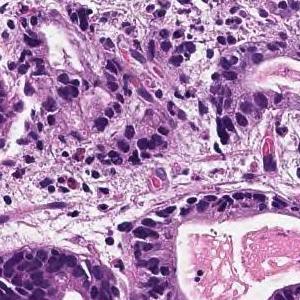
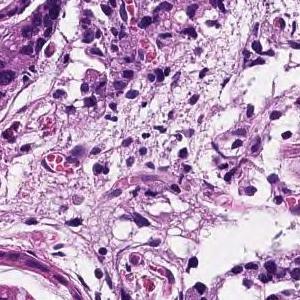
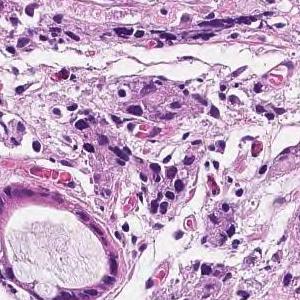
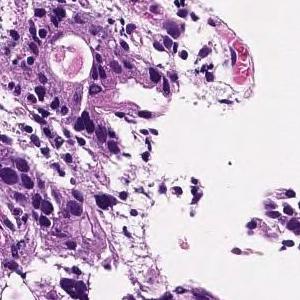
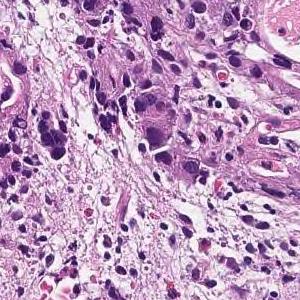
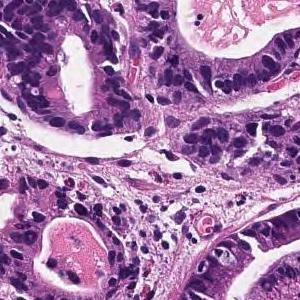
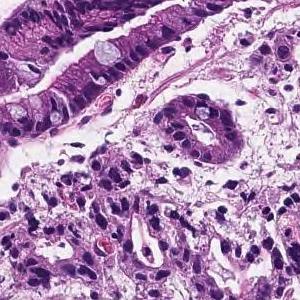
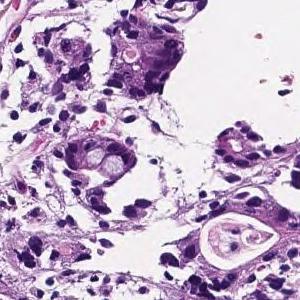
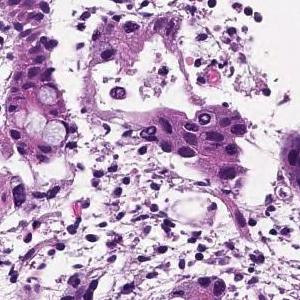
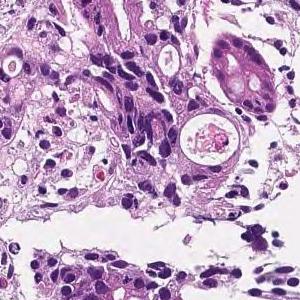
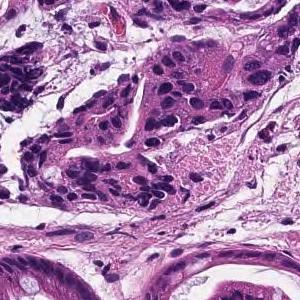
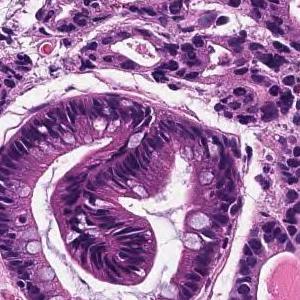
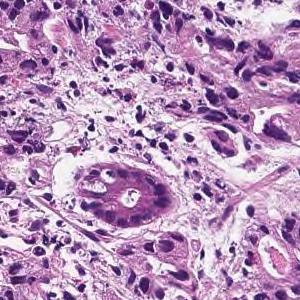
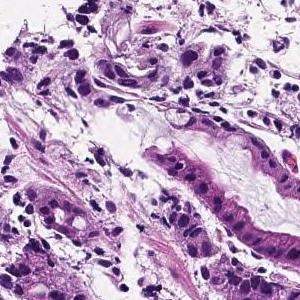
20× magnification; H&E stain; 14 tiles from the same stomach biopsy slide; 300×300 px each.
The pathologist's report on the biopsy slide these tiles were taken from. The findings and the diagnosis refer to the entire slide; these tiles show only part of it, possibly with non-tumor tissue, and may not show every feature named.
In the superficial epithelium, tumor tissue that invades by forming medium-sized to small, irregular ducts is observed. moderately differentiated tubular adenocarcinoma.
